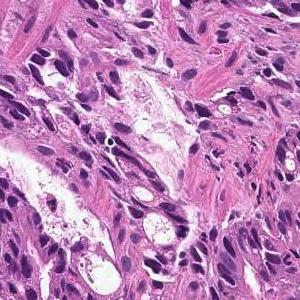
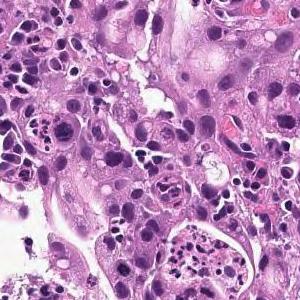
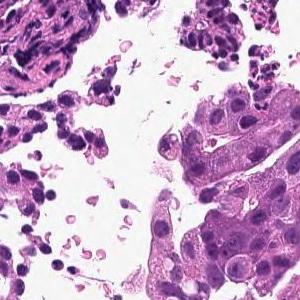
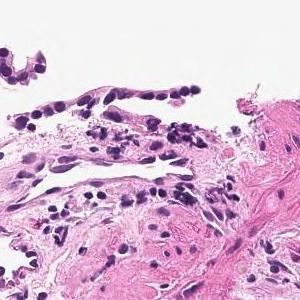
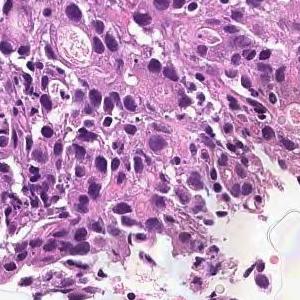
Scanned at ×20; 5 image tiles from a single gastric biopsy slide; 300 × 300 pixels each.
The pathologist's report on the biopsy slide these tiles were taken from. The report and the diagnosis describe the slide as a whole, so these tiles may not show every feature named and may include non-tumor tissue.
On the superficial epithelium, tumor tissue consisting of large irregular glandular ducts partially fused and infiltrated is observed. Well to moderately differentiated tubular adenocarcinoma (well differentiated tubular adenocarcinoma, moderately differentiated tubular adenocarcinoma)
Histological subtype: Well to moderately differentiated tubular adenocarcinoma.
